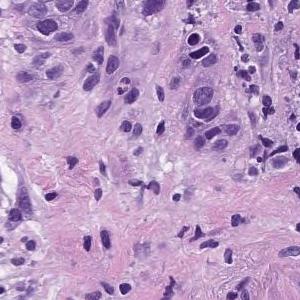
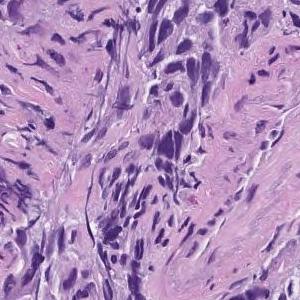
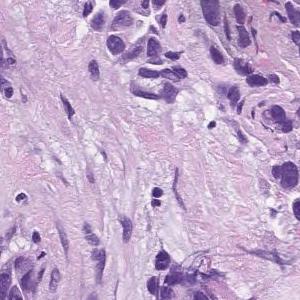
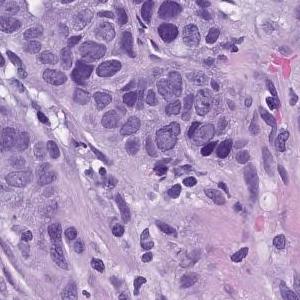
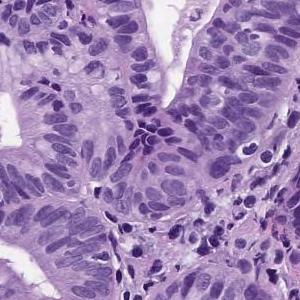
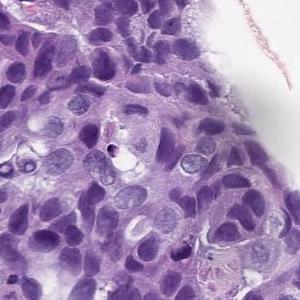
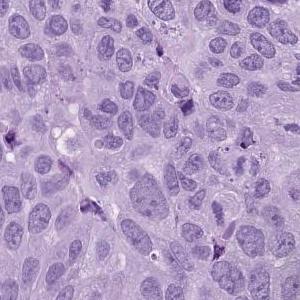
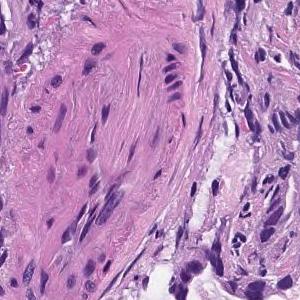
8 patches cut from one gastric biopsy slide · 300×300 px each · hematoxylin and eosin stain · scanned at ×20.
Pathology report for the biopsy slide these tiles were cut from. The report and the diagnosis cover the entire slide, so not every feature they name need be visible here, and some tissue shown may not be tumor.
In the superficial epithelium, tumor tissue that invades by forming medium-sized to small, irregular ducts is observed. moderately differentiated tubular adenocarcinoma.
